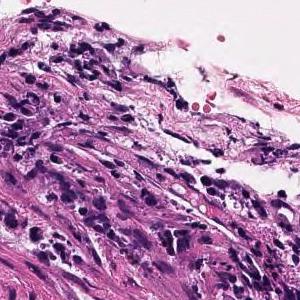
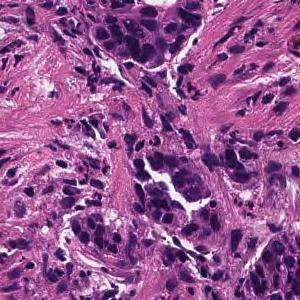
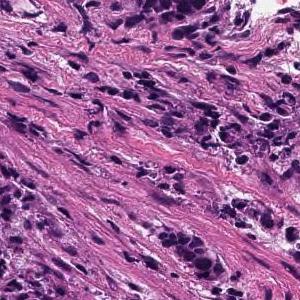
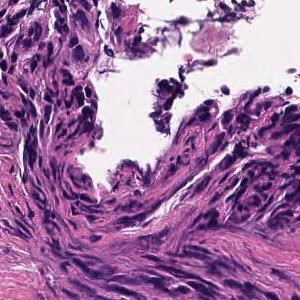
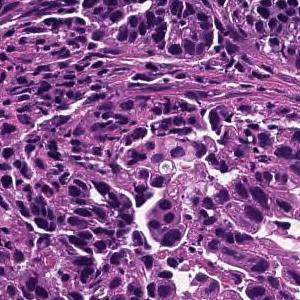
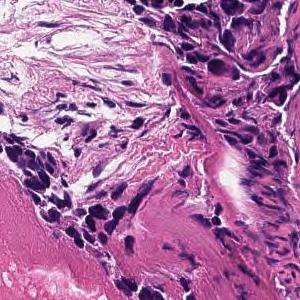
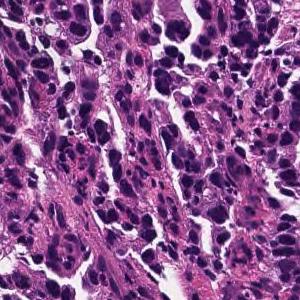
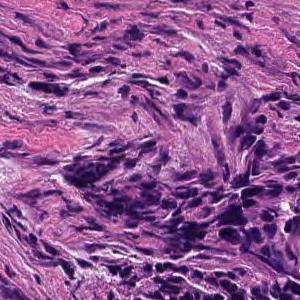
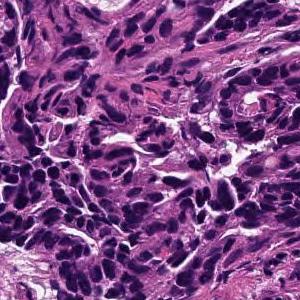
9 tiles cut from one stomach biopsy slide, each 300 × 300 pixels, hematoxylin and eosin stain.
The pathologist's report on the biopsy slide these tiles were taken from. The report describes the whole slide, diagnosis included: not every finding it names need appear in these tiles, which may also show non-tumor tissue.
In the superficial epithelium, tumor tissue that invades by forming medium-sized to small, irregular ducts is observed. moderately differentiated tubular adenocarcinoma.
